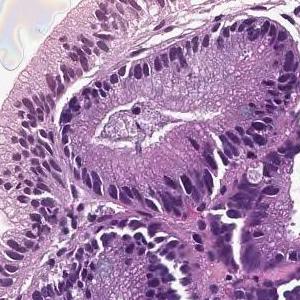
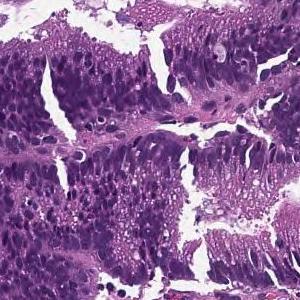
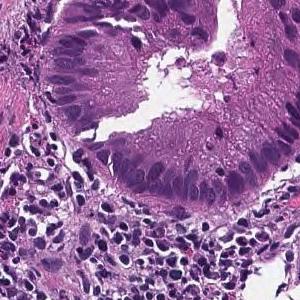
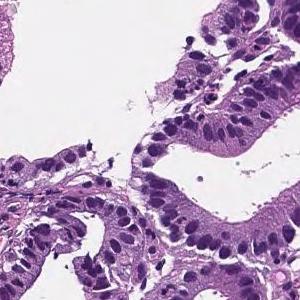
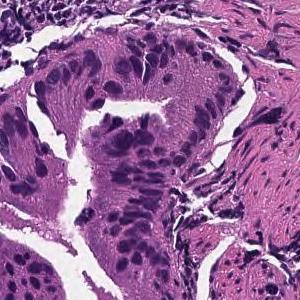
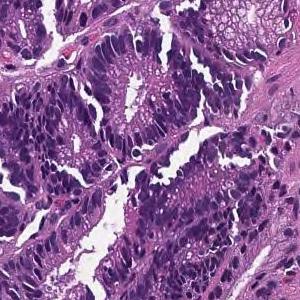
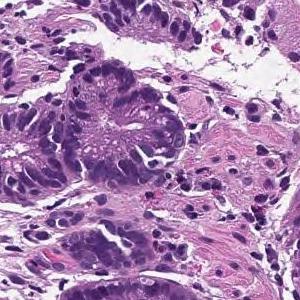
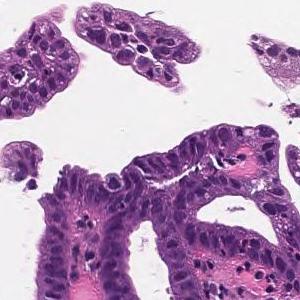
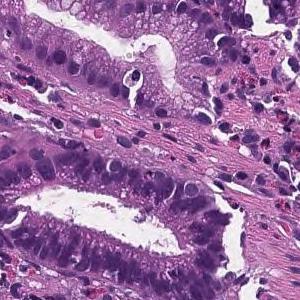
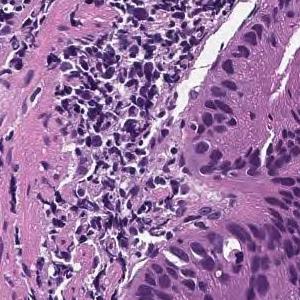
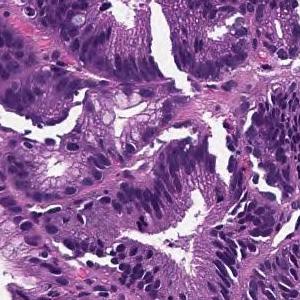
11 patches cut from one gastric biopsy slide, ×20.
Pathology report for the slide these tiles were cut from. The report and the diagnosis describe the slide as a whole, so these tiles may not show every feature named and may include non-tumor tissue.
From the superficial epithelium to the muscularis mucosae, tumor tissue consisting of medium-sized and irregular glandular ducts infiltrating is observed. Well differentiated tubular adenocarcinoma
